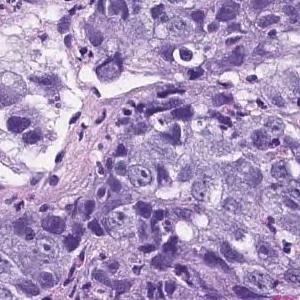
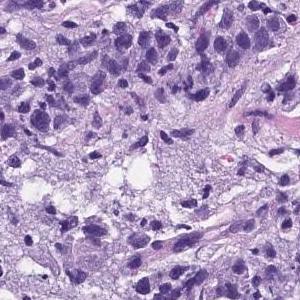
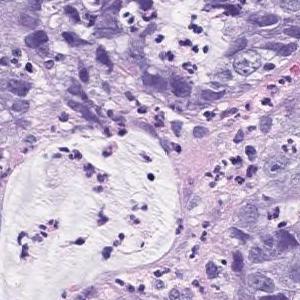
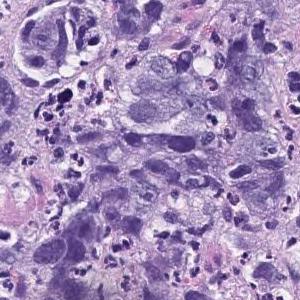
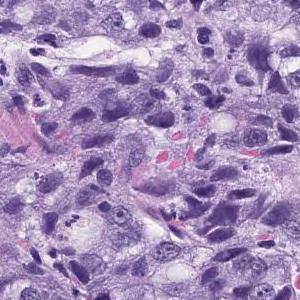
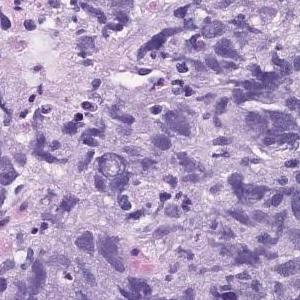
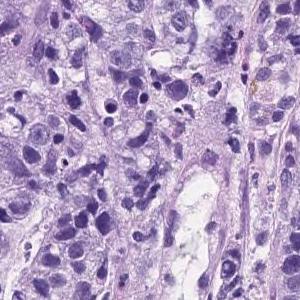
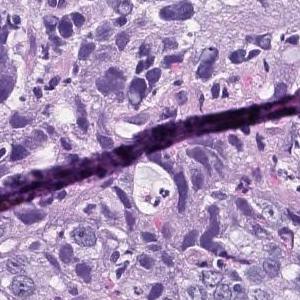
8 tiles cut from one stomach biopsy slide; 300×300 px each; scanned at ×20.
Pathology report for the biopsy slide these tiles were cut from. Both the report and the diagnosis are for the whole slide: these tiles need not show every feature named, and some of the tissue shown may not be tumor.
Atypical l cells with atypical nuclei forming solid vesicles or small irregular atypical ducts that proliferate in a complex manner. poorly differentiated adenocarcinoma, solid type, moderately differentiated tubular adenocarcinoma
The solid type named here is a Japanese Classification of Gastric Carcinoma category; WHO 2019 calls it tubular adenocarcinoma, poorly differentiated.
